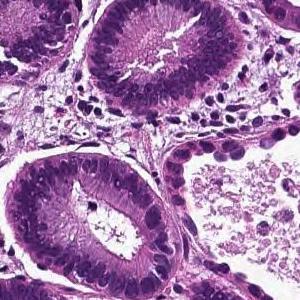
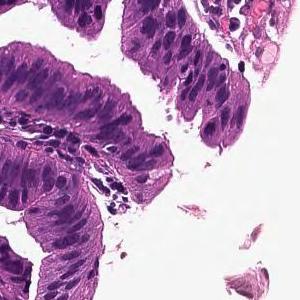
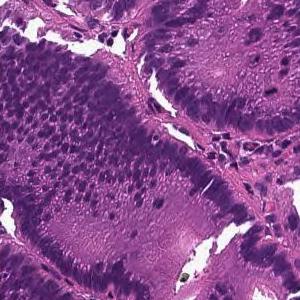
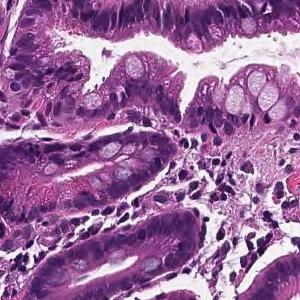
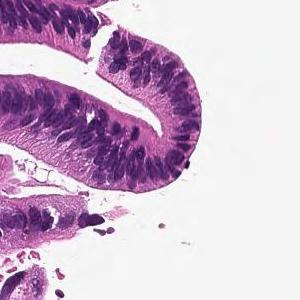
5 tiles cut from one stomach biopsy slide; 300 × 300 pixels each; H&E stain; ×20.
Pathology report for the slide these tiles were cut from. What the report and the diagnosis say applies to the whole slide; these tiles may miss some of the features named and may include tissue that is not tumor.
From the superficial epithelium to the muscularis mucosae, tumor tissue consisting of medium-sized and irregular glandular ducts infiltrating is observed. Well differentiated tubular adenocarcinoma
